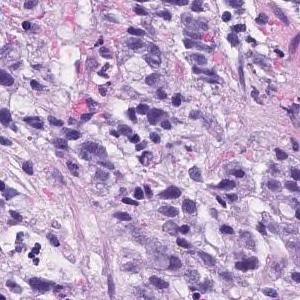
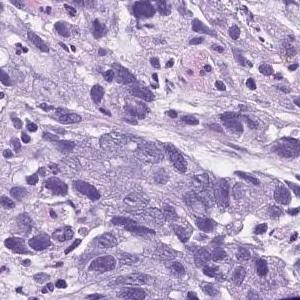
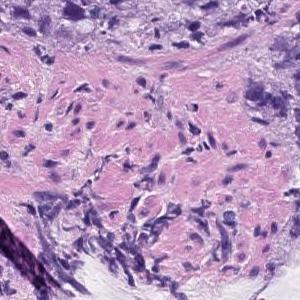
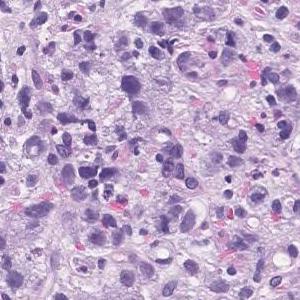
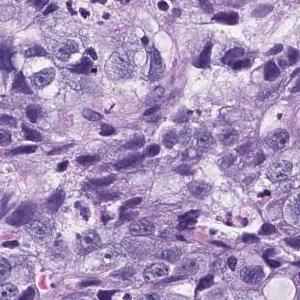
H&E; 20× magnification; 5 tiles from the same stomach biopsy slide; 300 × 300 pixels each.
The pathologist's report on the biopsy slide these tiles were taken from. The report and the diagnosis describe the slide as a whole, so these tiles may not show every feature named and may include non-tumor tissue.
Atypical l cells with atypical nuclei forming solid vesicles or small irregular atypical ducts that proliferate in a complex manner. poorly differentiated adenocarcinoma, solid type, moderately differentiated tubular adenocarcinoma
The term "solid type" comes from the Japanese Classification of Gastric Carcinoma; the WHO 2019 equivalent is tubular adenocarcinoma, poorly differentiated.
